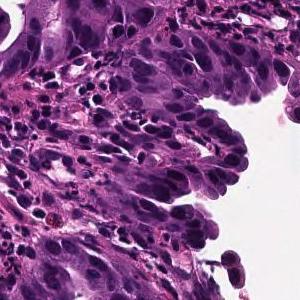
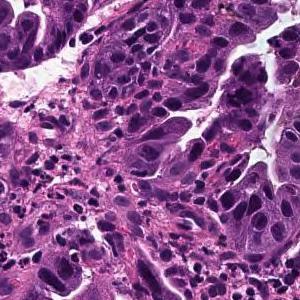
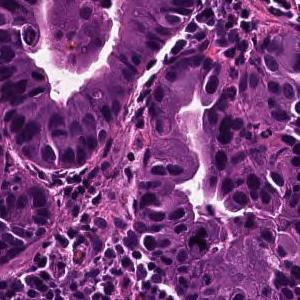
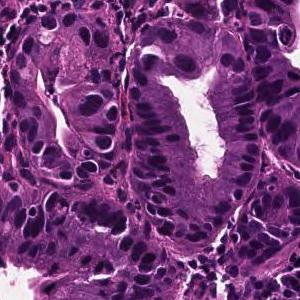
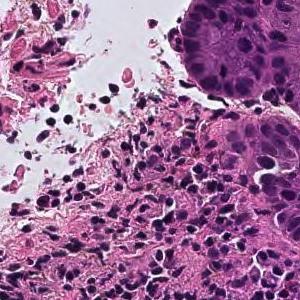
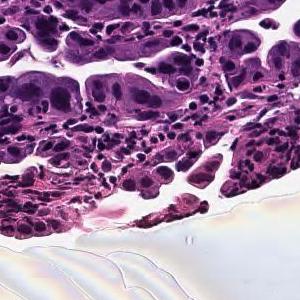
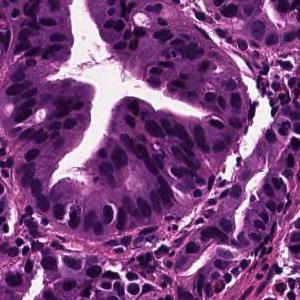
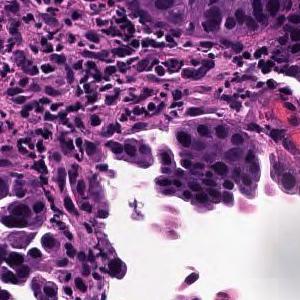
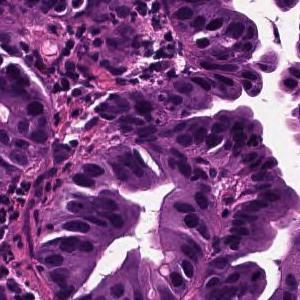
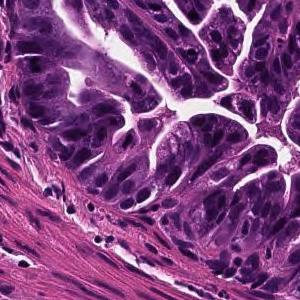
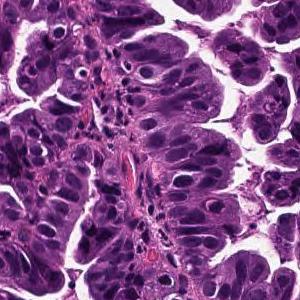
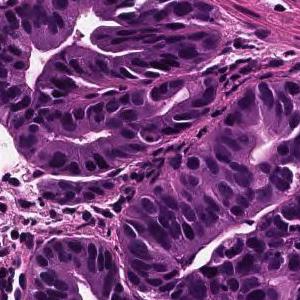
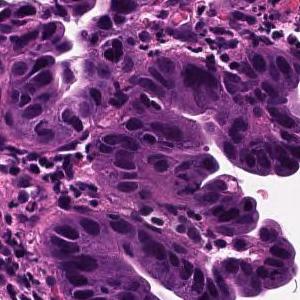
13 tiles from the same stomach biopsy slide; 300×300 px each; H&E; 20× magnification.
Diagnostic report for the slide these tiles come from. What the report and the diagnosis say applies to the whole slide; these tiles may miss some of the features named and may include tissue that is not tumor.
Tumor cells are large, highly columnar, large club-shaped nuclei, and are associated with chromatin aggregation. Papillary adenocarcinoma.
